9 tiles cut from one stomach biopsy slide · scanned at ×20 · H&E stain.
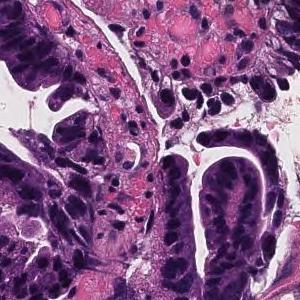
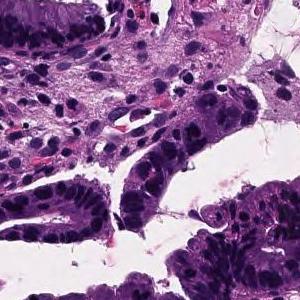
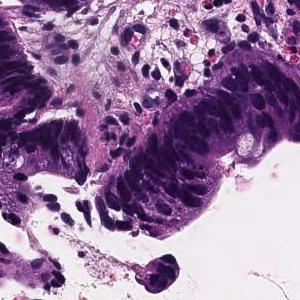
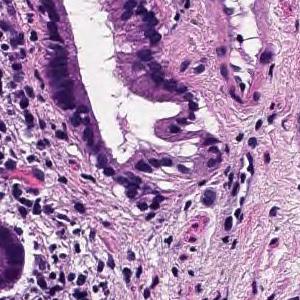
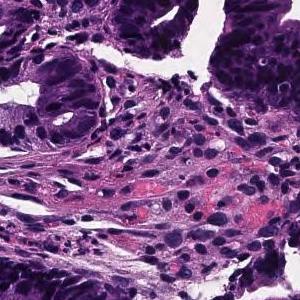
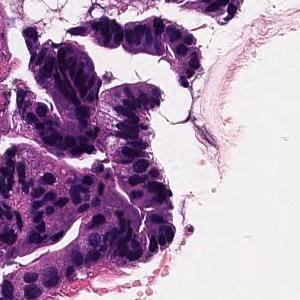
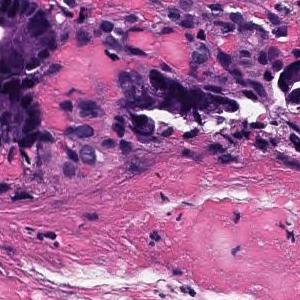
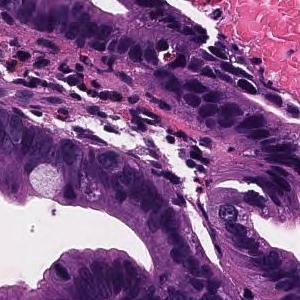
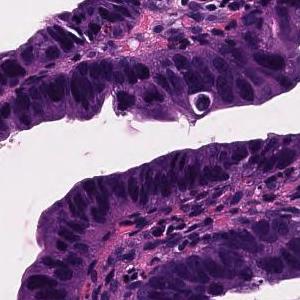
Pathology report for the slide these tiles were cut from. The findings and the diagnosis refer to the entire slide; these tiles show only part of it, possibly with non-tumor tissue, and may not show every feature named.
Tumor cells are large, highly columnar, large club-shaped nuclei, and are associated with chromatin aggregation. Papillary adenocarcinoma.
